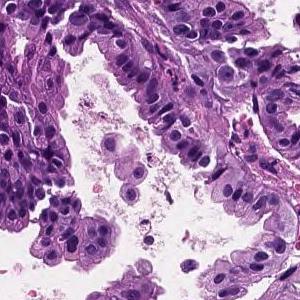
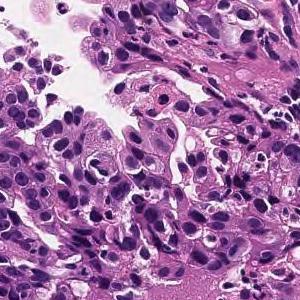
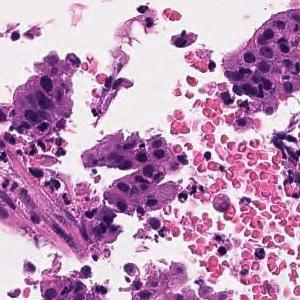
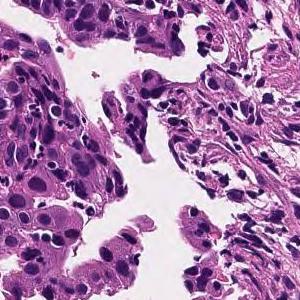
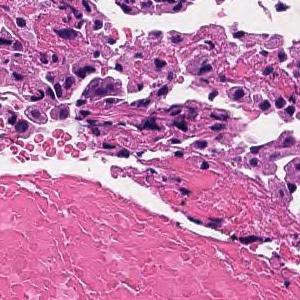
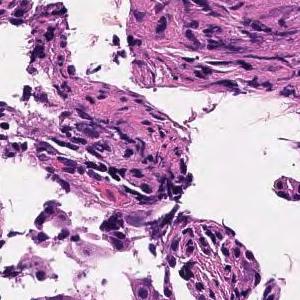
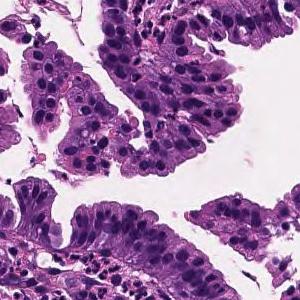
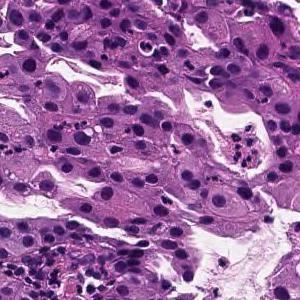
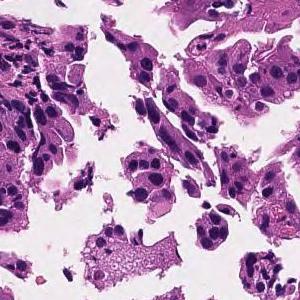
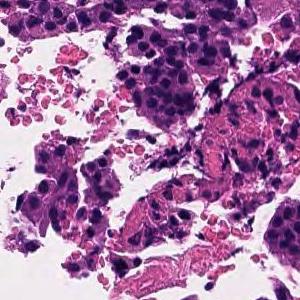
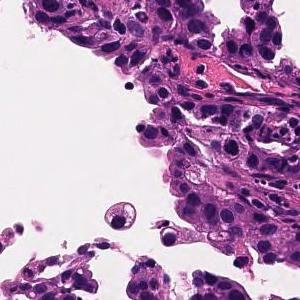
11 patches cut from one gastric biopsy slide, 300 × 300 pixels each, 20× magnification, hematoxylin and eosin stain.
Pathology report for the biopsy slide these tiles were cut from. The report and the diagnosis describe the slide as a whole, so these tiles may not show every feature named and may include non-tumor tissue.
On the superficial epithelium, tumor tissue consisting of large, irregular glandular ducts partially fused and infiltrated is observed. Well to moderately differentiated tubular adenocarcinoma (well differentiated tubular adenocarcinoma, moderately differentiated tubular adenocarcinoma)
Subtype: Well to moderately differentiated tubular adenocarcinoma.
